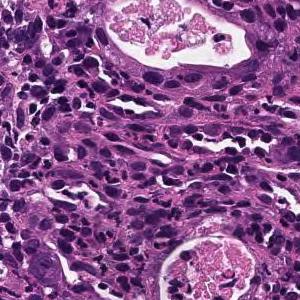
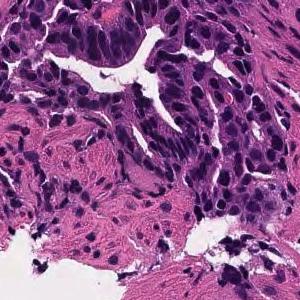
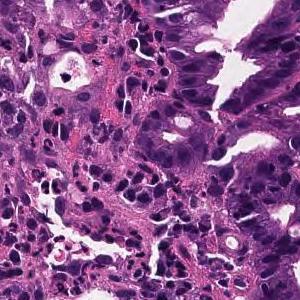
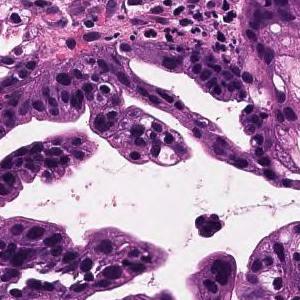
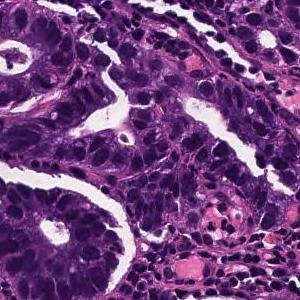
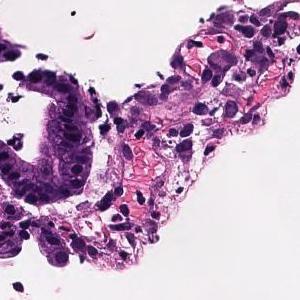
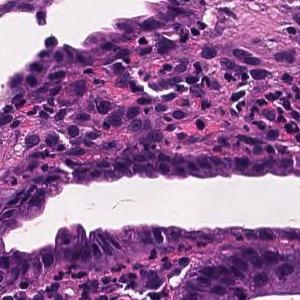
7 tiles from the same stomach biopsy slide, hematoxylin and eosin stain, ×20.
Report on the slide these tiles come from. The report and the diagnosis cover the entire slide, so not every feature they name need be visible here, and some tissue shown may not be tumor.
From the superficial epithelium to the muscularis mucosae, tumor tissue consisting of medium-sized and irregular glandular ducts infiltrating is observed. Well differentiated tubular adenocarcinoma
